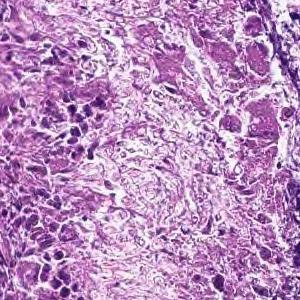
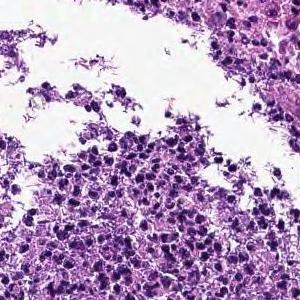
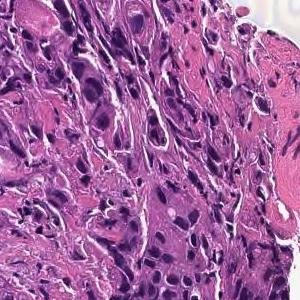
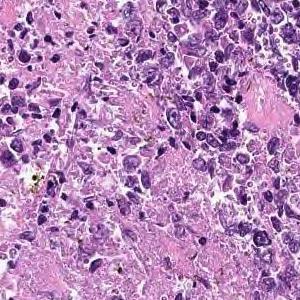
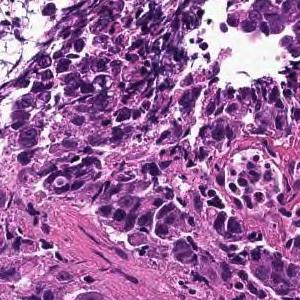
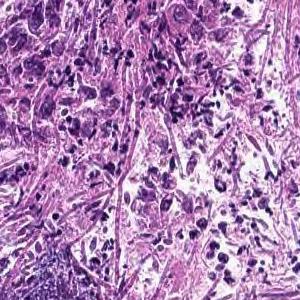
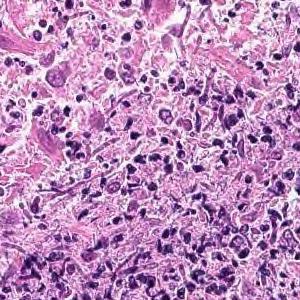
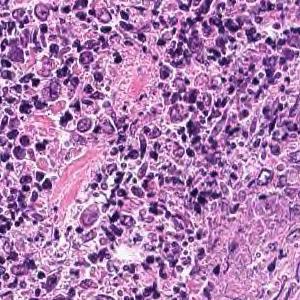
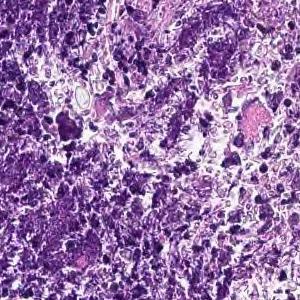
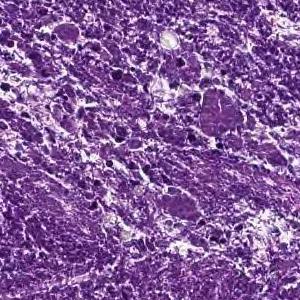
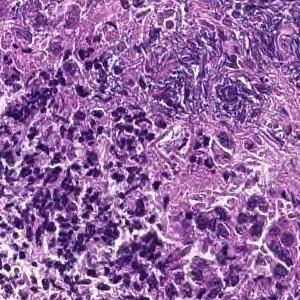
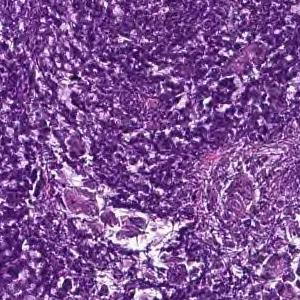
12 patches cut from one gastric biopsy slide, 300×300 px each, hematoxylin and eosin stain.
Report on the slide these tiles come from. The report describes the whole slide, diagnosis included: not every finding it names need appear in these tiles, which may also show non-tumor tissue.
Cancers with polygonal nuclei do not show glandular formation and are densely, in part, cord-like and proliferate. Poorly differentiated adenocarcinoma
Classified as poorly differentiated adenocarcinoma, non-solid type.
The non-solid type named here is a Japanese Classification of Gastric Carcinoma category.
